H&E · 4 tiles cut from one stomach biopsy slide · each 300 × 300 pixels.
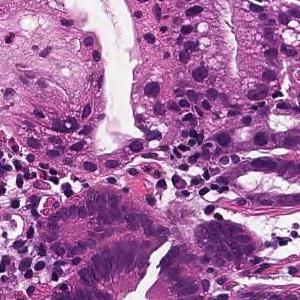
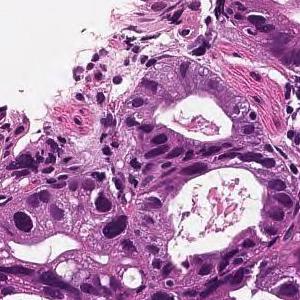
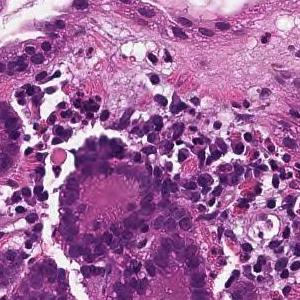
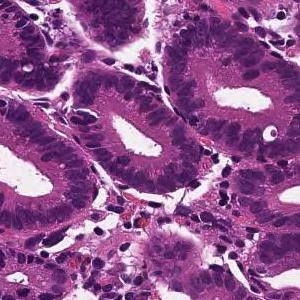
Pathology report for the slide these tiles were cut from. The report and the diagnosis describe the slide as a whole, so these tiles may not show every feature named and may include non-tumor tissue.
In the superficial epithelium, tumor tissue that invades by forming medium-sized to small, irregular ducts is observed. moderately differentiated tubular adenocarcinoma.
